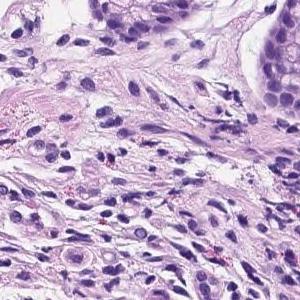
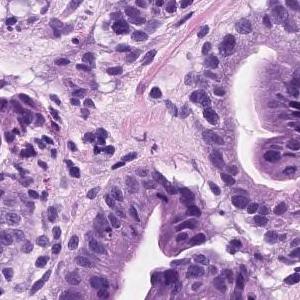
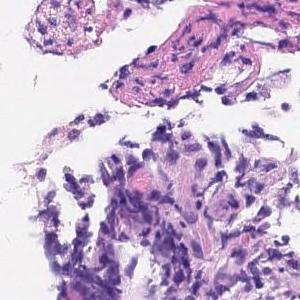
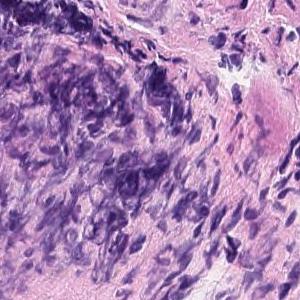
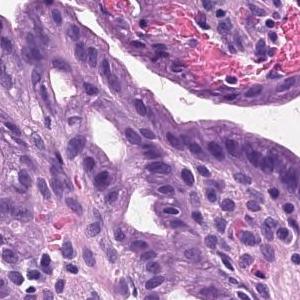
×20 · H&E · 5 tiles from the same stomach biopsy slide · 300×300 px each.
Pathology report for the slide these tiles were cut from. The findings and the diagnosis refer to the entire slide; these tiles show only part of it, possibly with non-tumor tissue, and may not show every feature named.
Tumor tissue consisting of medium-sized and irregular ducts is observed infiltrating in the superficial epithelium. Tumor cells are highly columnar, with nuclei aligned basolaterally and polarized. Well differentiated tubular adenocarcinoma.
